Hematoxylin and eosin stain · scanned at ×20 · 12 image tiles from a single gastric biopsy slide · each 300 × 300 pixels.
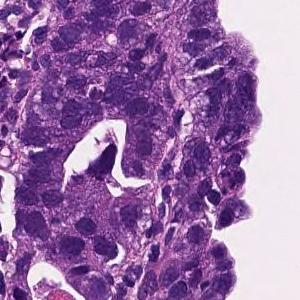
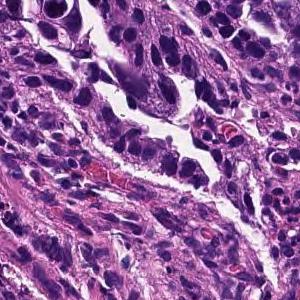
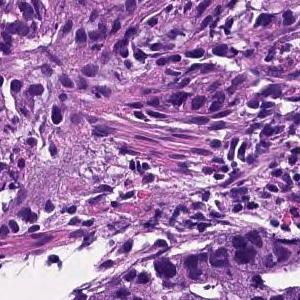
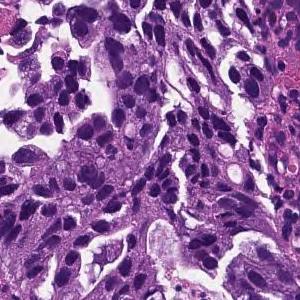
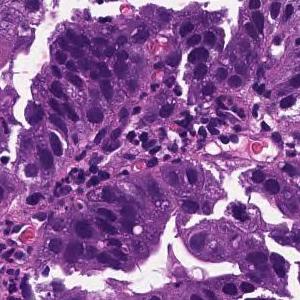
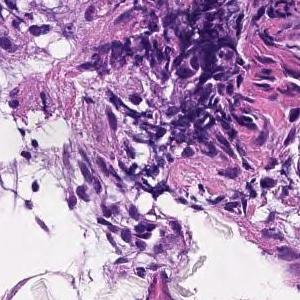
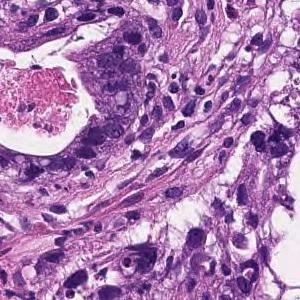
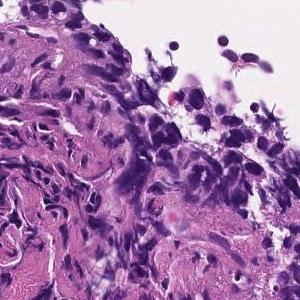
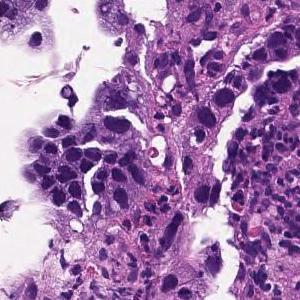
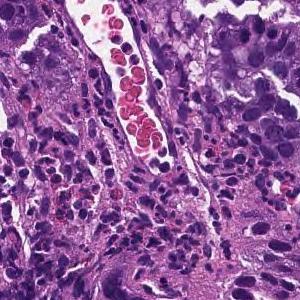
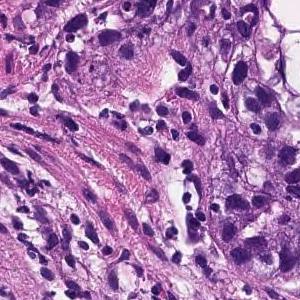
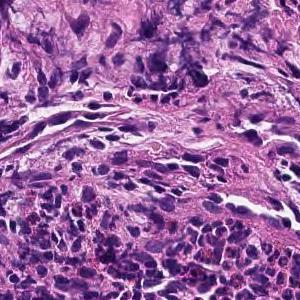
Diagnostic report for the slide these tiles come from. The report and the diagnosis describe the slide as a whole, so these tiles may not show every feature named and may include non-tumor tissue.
Tumor tissue consisting of large papillary structures is found in the superficial epithelium. Papillary adenocarcinoma.
